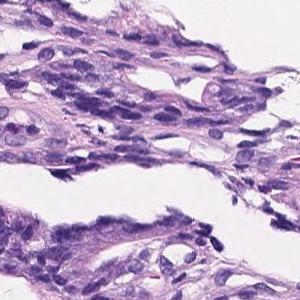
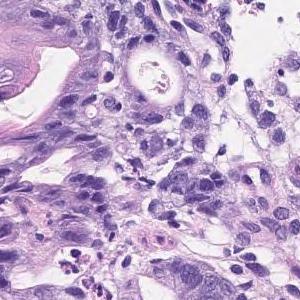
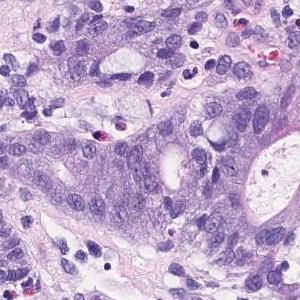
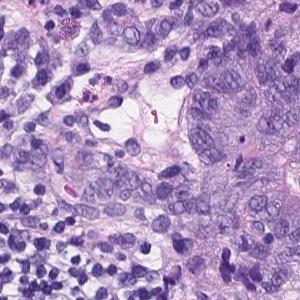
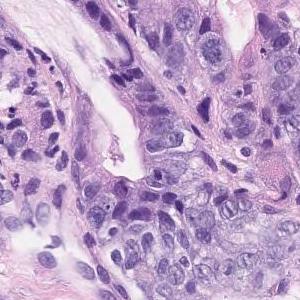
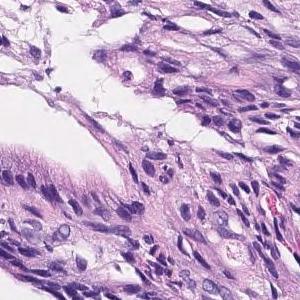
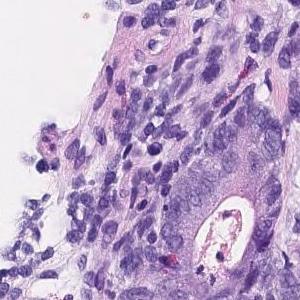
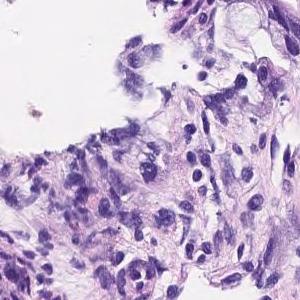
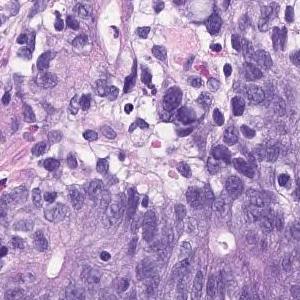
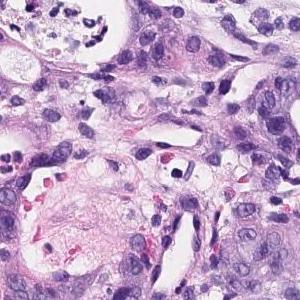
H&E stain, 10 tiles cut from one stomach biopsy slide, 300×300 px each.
The pathologist's report on the biopsy slide these tiles were taken from. The report describes the whole slide, diagnosis included: not every finding it names need appear in these tiles, which may also show non-tumor tissue.
Irregularly fused atypical ducts proliferating while replacing existing ducts was observed. moderately differentiated tubular adenocarcinoma
